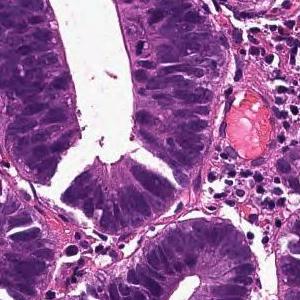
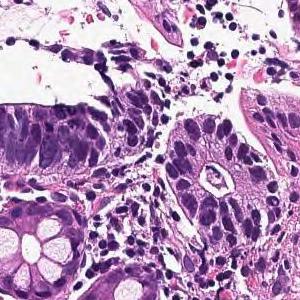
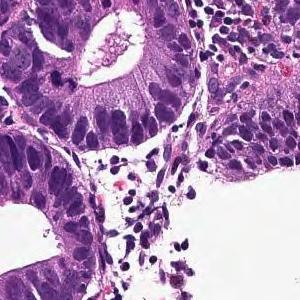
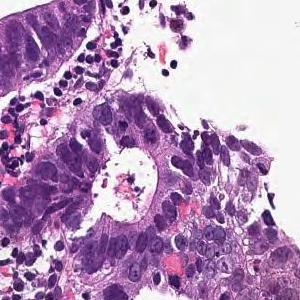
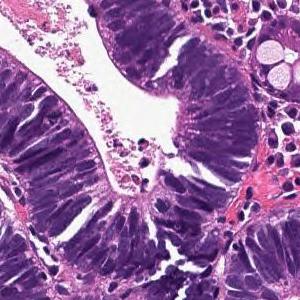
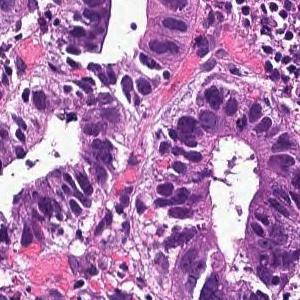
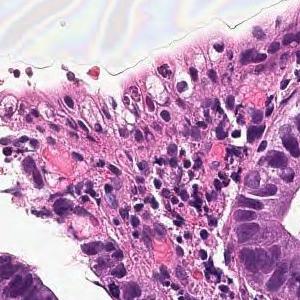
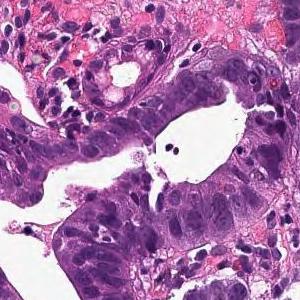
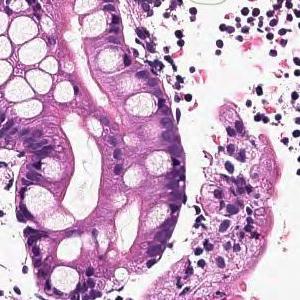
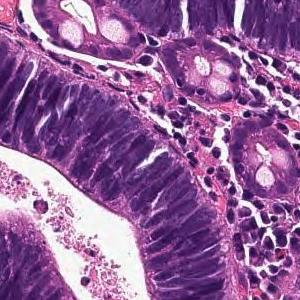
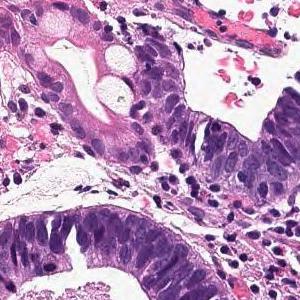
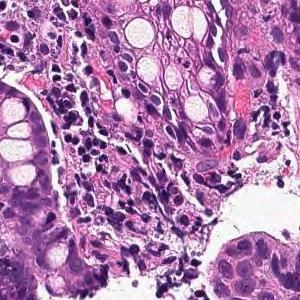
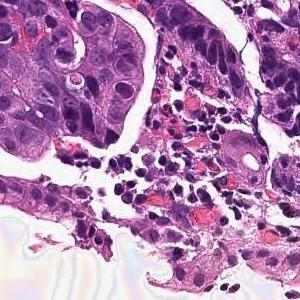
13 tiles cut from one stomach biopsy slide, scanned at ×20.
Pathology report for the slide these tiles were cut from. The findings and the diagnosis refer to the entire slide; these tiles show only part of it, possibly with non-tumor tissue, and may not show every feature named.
Tumor cells are large, highly columnar, large club-shaped nuclei, and are associated with chromatin aggregation. Papillary adenocarcinoma.
